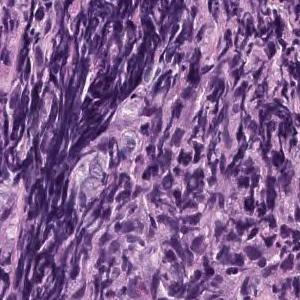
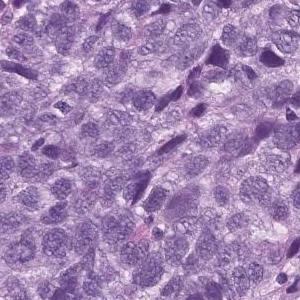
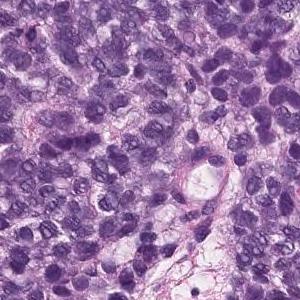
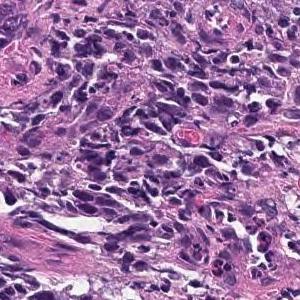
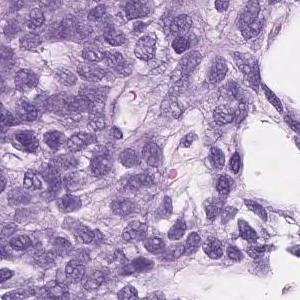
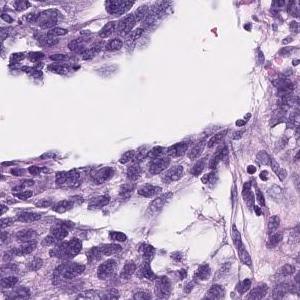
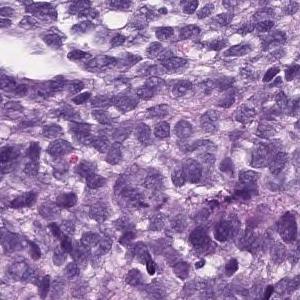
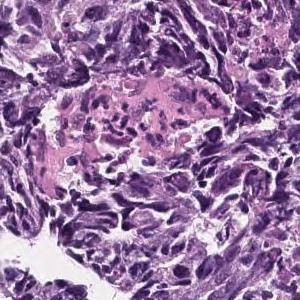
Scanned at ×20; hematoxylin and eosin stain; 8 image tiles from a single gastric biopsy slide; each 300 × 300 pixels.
Pathology report for the slide these tiles were cut from. Both the report and the diagnosis are for the whole slide: these tiles need not show every feature named, and some of the tissue shown may not be tumor.
Epithelial cells with swollen nuclei with atypia invasively proliferating while forming vesicles is observed. Poorly differentiated adenocarcinoma
Histologic type: Poorly differentiated adenocarcinoma, solid type. This name comes from the Japanese Classification of Gastric Carcinoma; the WHO 2019 classification calls it tubular adenocarcinoma, poorly differentiated.
